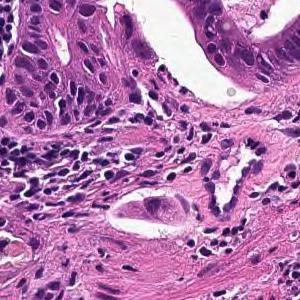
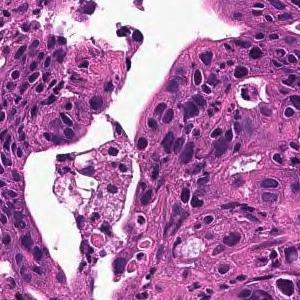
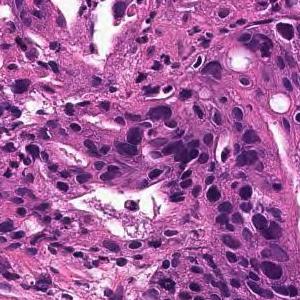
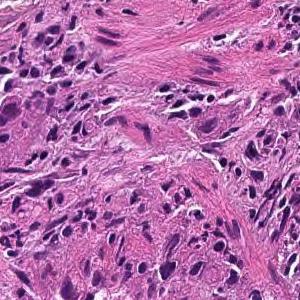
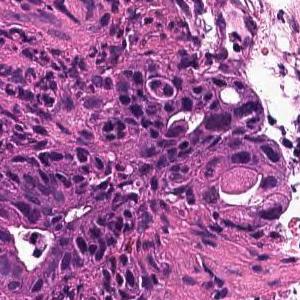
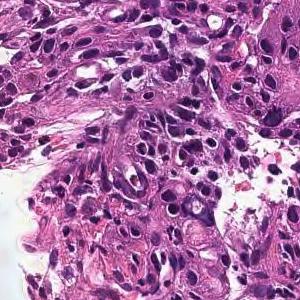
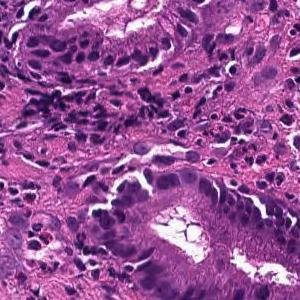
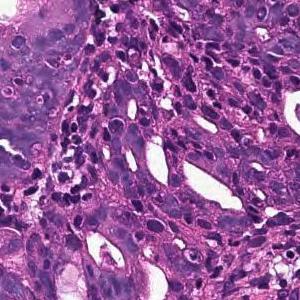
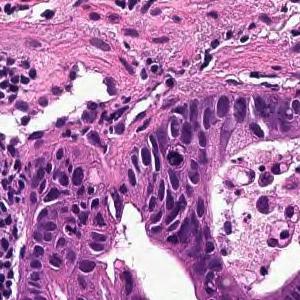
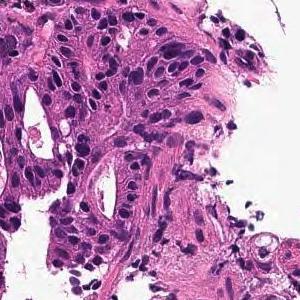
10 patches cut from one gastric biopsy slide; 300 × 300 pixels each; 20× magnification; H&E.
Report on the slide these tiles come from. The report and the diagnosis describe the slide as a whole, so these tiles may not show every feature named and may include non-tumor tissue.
In the superficial epithelium, tumor tissue that invades by forming medium-sized to small, irregular ducts is observed. moderately differentiated tubular adenocarcinoma.
